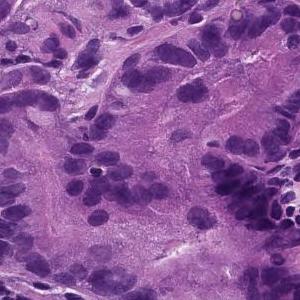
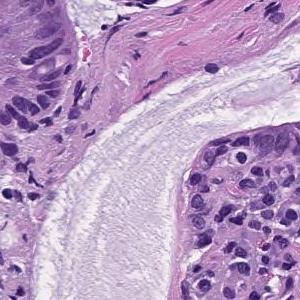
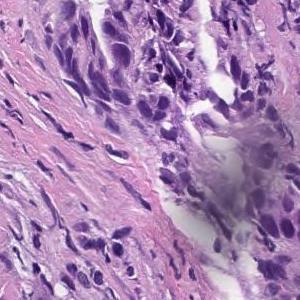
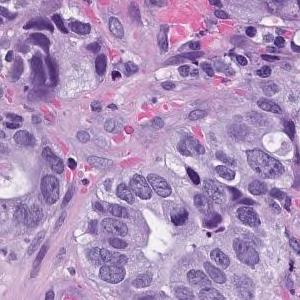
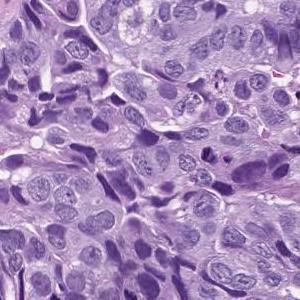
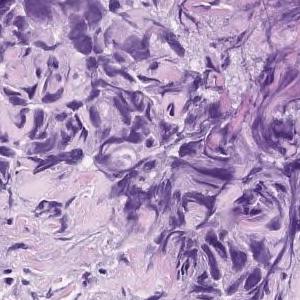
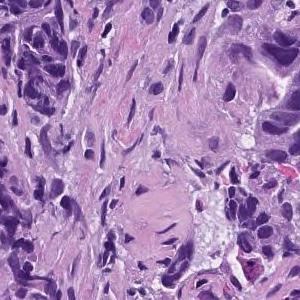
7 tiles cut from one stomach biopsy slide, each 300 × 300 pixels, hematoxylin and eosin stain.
Report on the slide these tiles come from. What the report and the diagnosis say applies to the whole slide; these tiles may miss some of the features named and may include tissue that is not tumor.
In the superficial epithelium, tumor tissue that invades by forming medium-sized to small, irregular ducts is observed. moderately differentiated tubular adenocarcinoma.
